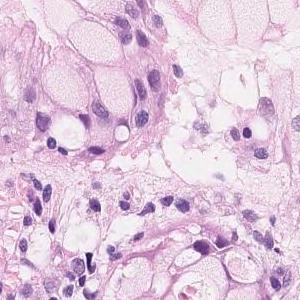
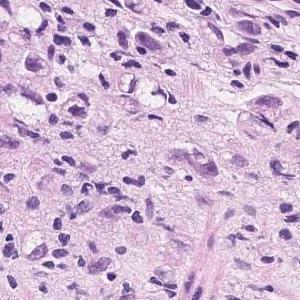
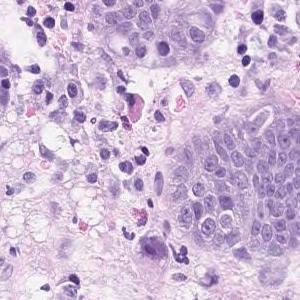
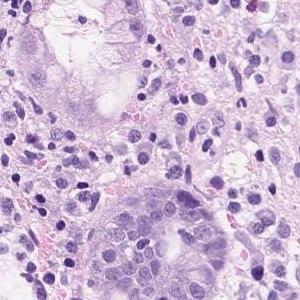
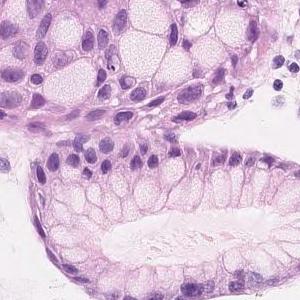
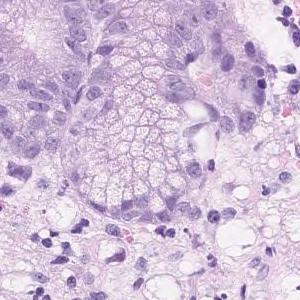
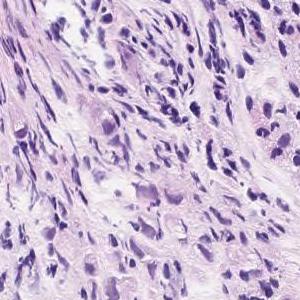
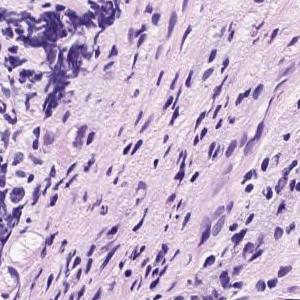
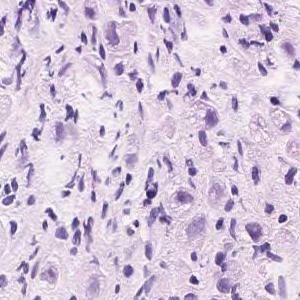
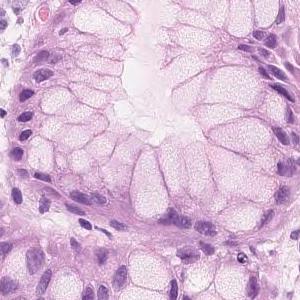
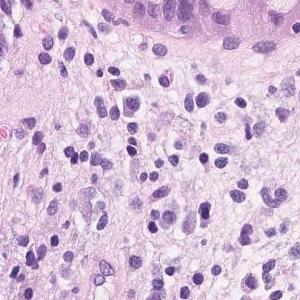
20× magnification; hematoxylin and eosin stain; 11 image tiles from a single gastric biopsy slide; each 300 × 300 pixels.
The pathologist's report on the biopsy slide these tiles were taken from. The report and the diagnosis cover the entire slide, so not every feature they name need be visible here, and some tissue shown may not be tumor.
Group 5, Adenocarcinoma. Poorly differentiated adenocarcinoma, non-solid type
The term "non-solid type" comes from the Japanese Classification of Gastric Carcinoma.
